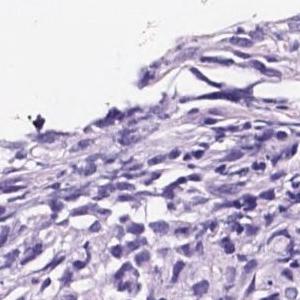
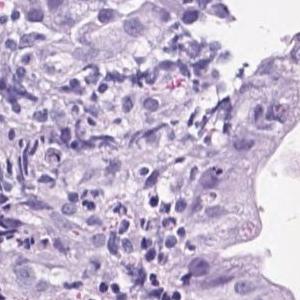
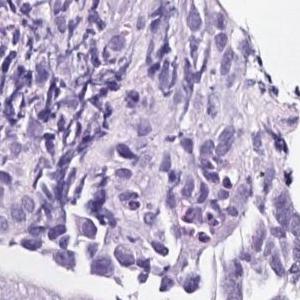
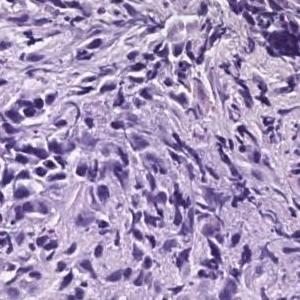
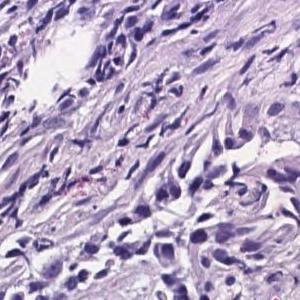
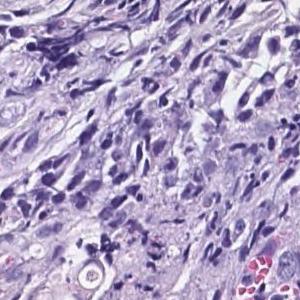
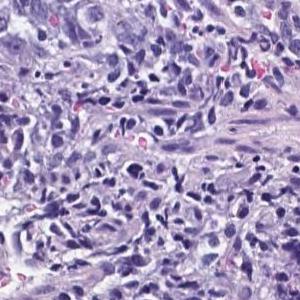
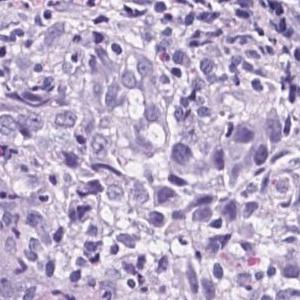
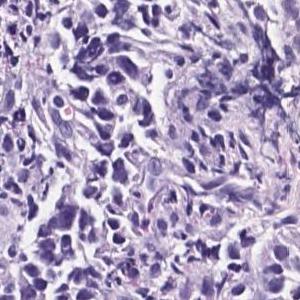
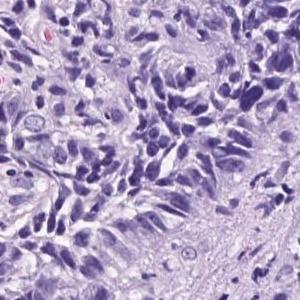
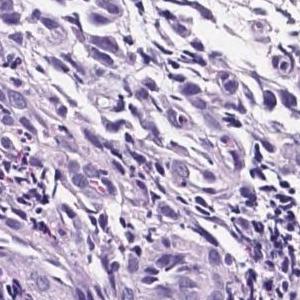
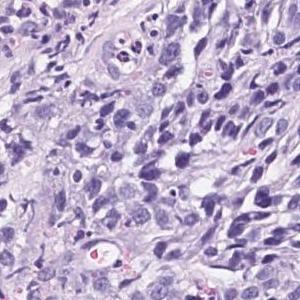
12 patches cut from one gastric biopsy slide; H&E stain; scanned at ×20.
Pathology report for the biopsy slide these tiles were cut from. Both the report and the diagnosis are for the whole slide: these tiles need not show every feature named, and some of the tissue shown may not be tumor.
Medium to small atypical epithelial cells that become cord-like or irregularly agglomerated and infiltrate. Poorly differentiated adenocarcinoma
Histologic type: Poorly differentiated adenocarcinoma, solid type (Japanese Classification of Gastric Carcinoma). The WHO 2019 equivalent is tubular adenocarcinoma, poorly differentiated.
